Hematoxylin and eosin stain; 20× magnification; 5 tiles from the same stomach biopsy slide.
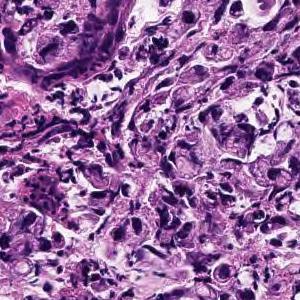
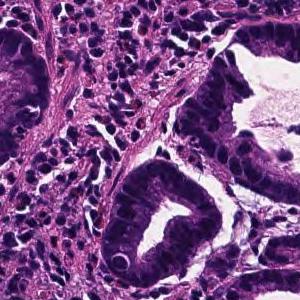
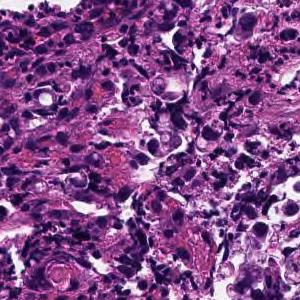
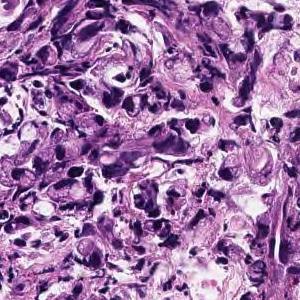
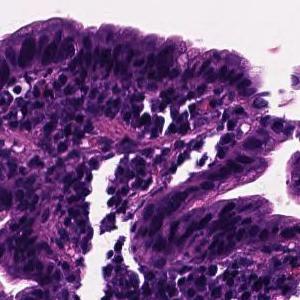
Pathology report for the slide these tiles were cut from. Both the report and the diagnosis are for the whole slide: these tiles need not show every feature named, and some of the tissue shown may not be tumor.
On the superficial epithelium, tumor tissue that infiltrates by forming medium-sized papillary or small irregular ducts is observed. Papillary adenocarcinoma
